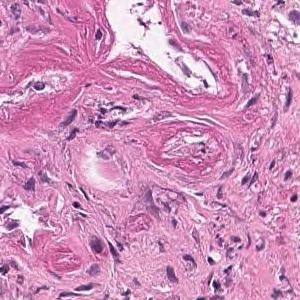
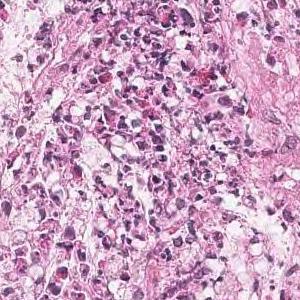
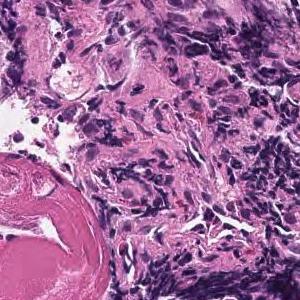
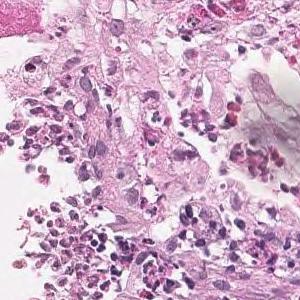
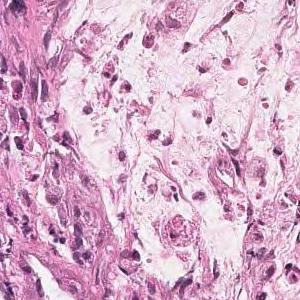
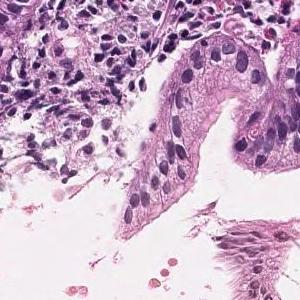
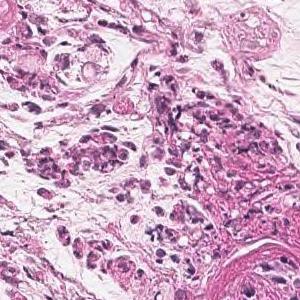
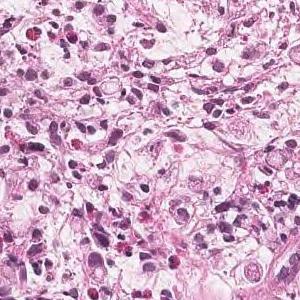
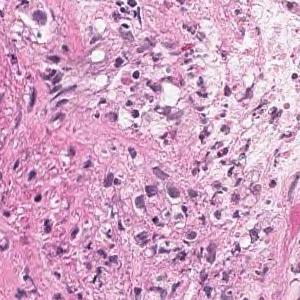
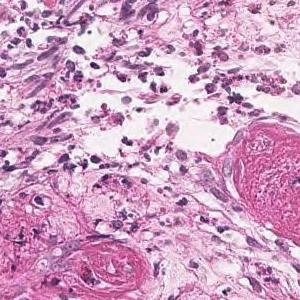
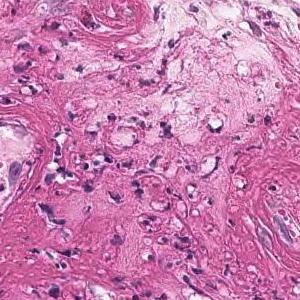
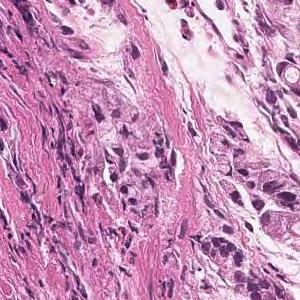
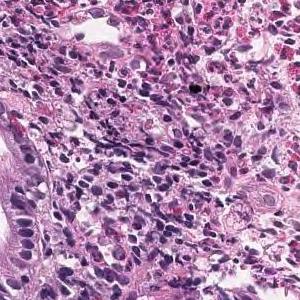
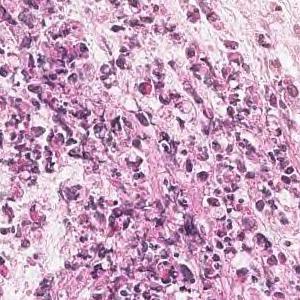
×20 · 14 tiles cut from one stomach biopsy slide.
Pathology report for the slide these tiles were cut from. What the report and the diagnosis say applies to the whole slide; these tiles may miss some of the features named and may include tissue that is not tumor.
Tumor tissue is observed in which atypical epithelial cells with mucus in the vesicles proliferate while being isolated. Signet ring cell carcinoma
